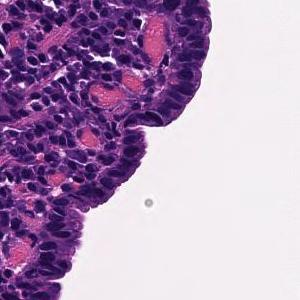
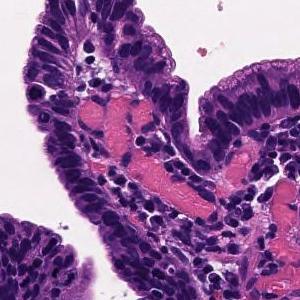
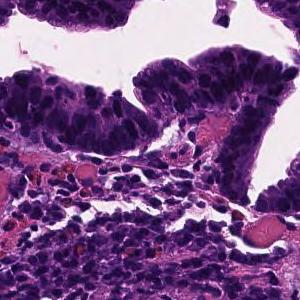
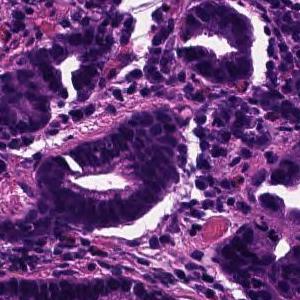
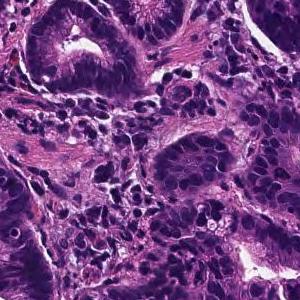
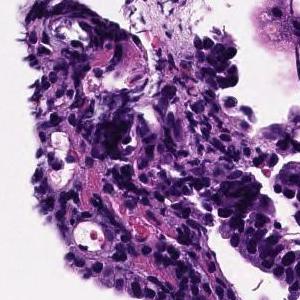
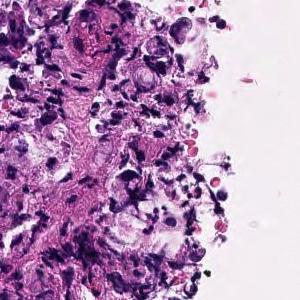
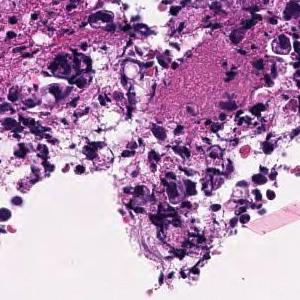
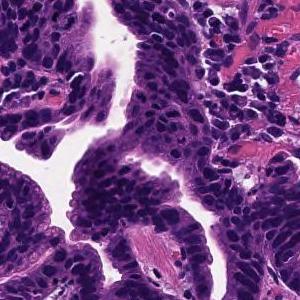
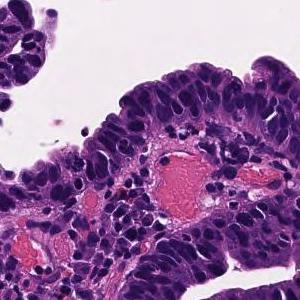
10 tiles from the same stomach biopsy slide, 300 × 300 pixels each, hematoxylin and eosin stain.
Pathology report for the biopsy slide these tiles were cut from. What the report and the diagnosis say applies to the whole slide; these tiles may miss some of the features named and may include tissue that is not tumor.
On the superficial epithelium, tumor tissue that infiltrates by forming medium-sized papillary or small irregular ducts is observed. Papillary adenocarcinoma
